14 patches cut from one gastric biopsy slide, 20× magnification.
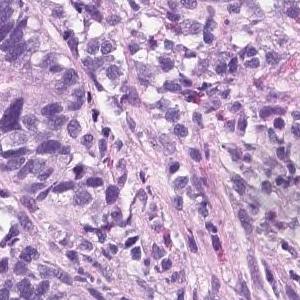
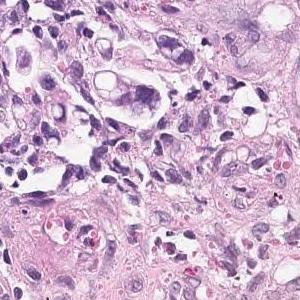
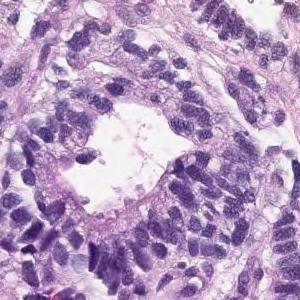
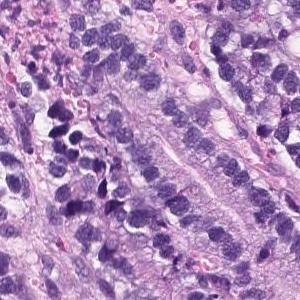
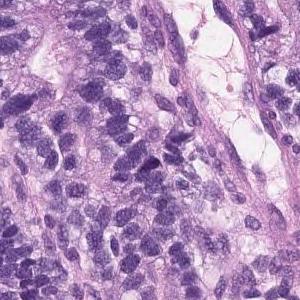
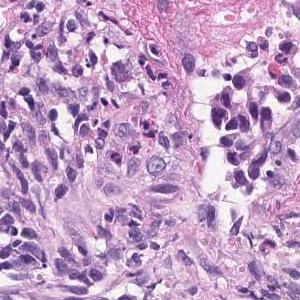
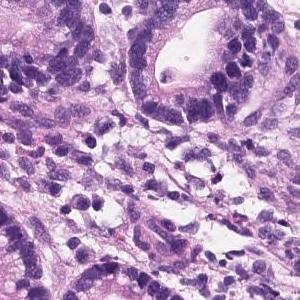
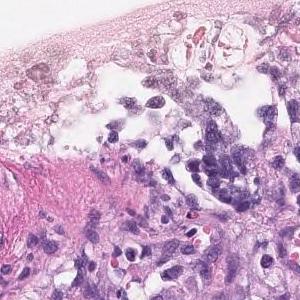
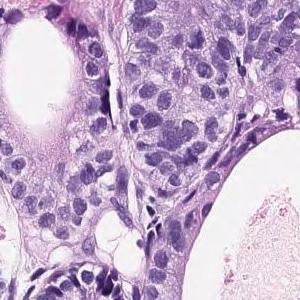
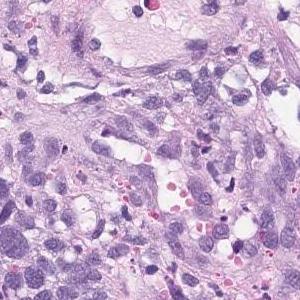
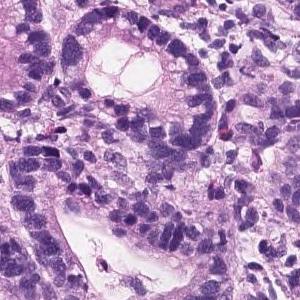
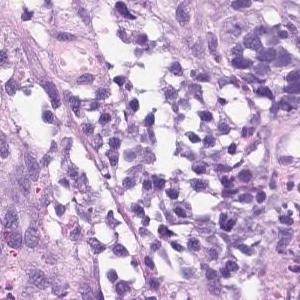
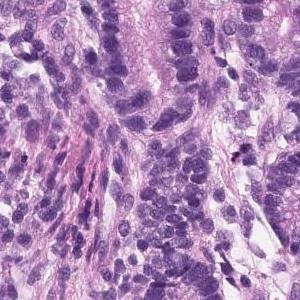
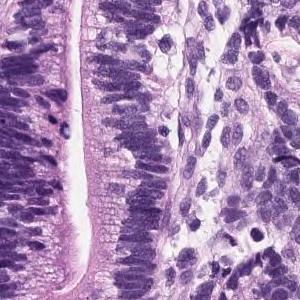
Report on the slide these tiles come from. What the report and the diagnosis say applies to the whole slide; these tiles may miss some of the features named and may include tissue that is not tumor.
Hyperplasia of atypical epithelial cells with swelling of the nucleus is observed. Moderately diffentiated tubular adenocarcinoma
Classified as moderately differentiated tubular adenocarcinoma.
